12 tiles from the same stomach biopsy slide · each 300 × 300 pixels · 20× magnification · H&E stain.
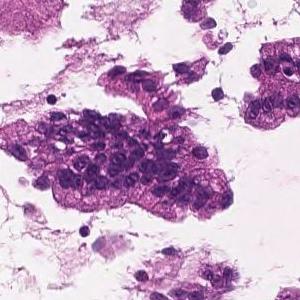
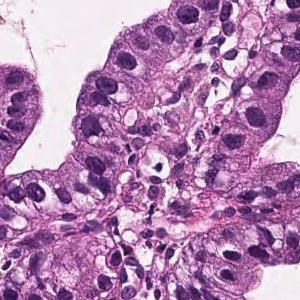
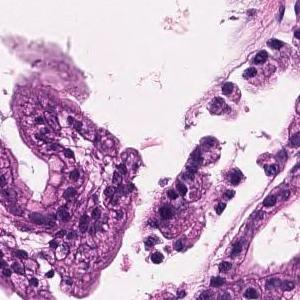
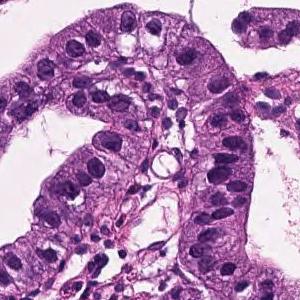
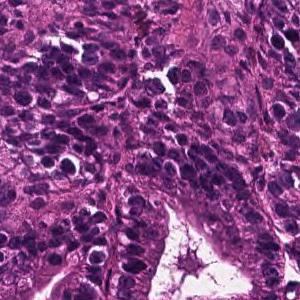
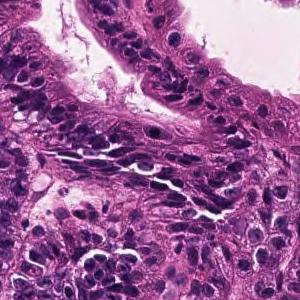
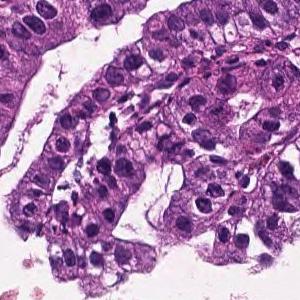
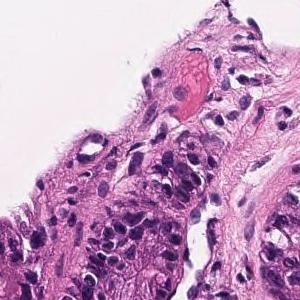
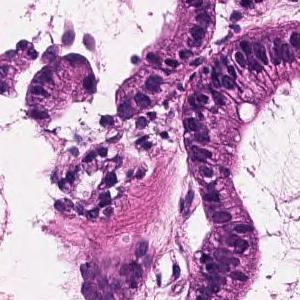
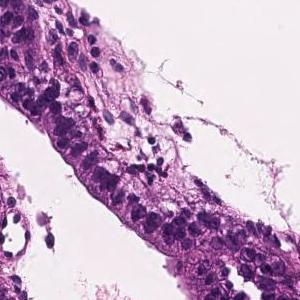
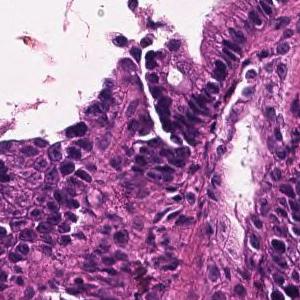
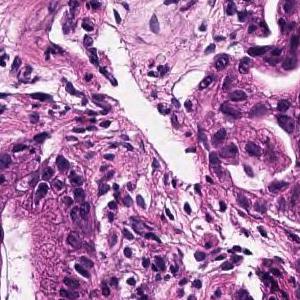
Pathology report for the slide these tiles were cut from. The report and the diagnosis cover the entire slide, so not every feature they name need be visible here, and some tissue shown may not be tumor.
On the superficial epithelium, tumor tissue that infiltrates by forming medium-sized papillary or small irregular ducts is observed. Papillary adenocarcinoma
